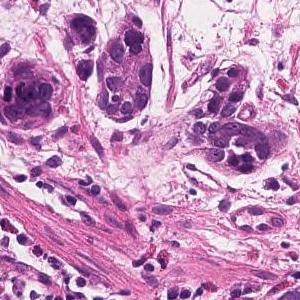
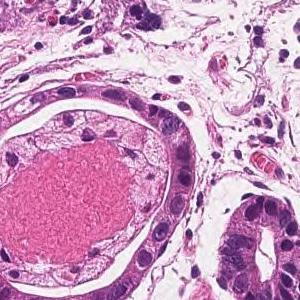
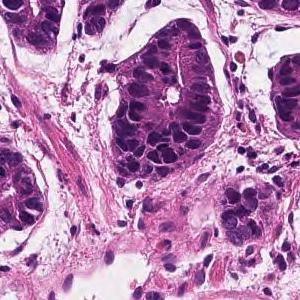
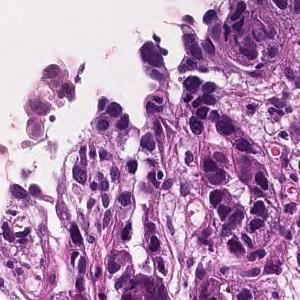
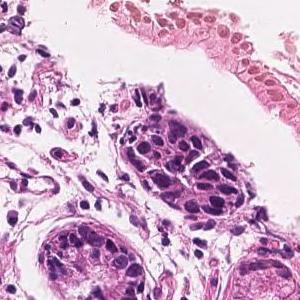
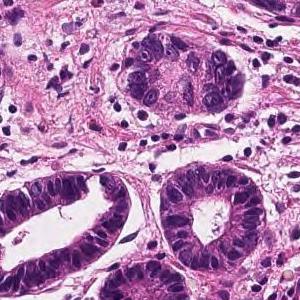
20× magnification · hematoxylin and eosin stain · 6 image tiles from a single gastric biopsy slide · 300×300 px each.
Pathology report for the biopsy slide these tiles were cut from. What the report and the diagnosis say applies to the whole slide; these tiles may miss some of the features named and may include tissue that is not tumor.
In the superficial epithelium, tumor tissue that invades by forming medium-sized to small, irregular ducts is observed. Well differentiated tubular adenocarcinoma.
